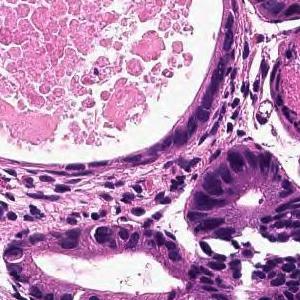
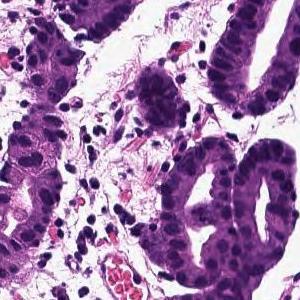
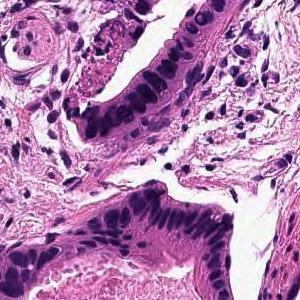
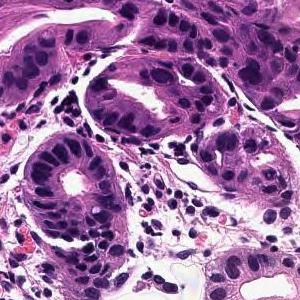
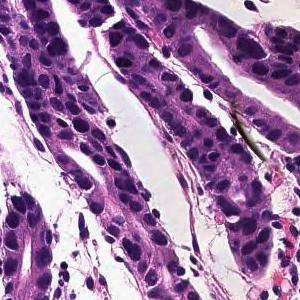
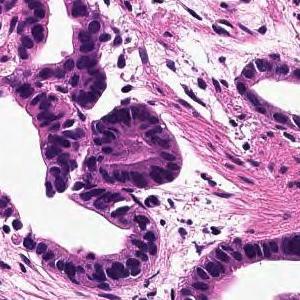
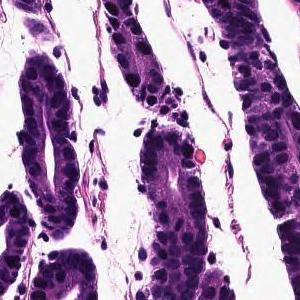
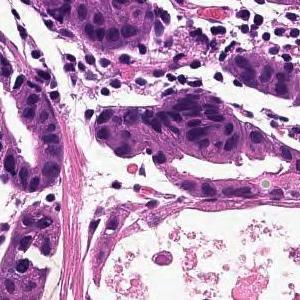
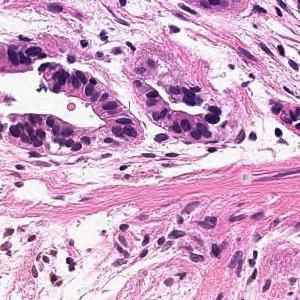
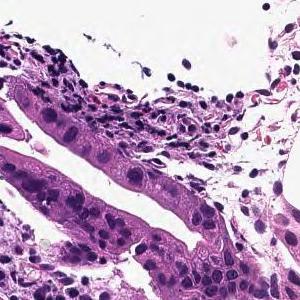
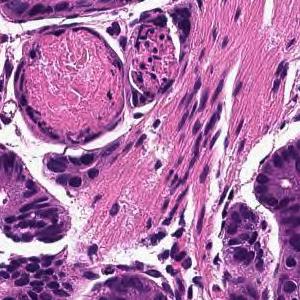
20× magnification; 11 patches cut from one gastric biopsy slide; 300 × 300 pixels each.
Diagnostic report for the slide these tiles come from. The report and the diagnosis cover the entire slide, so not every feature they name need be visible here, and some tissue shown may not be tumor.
From the superficial epithelium to the muscularis mucosae, tumor tissue consisting of medium-sized and irregular glandular ducts infiltrating is observed. Well differentiated tubular adenocarcinoma
